H&E stain; 20× magnification; 11 tiles cut from one stomach biopsy slide; 300×300 px each.
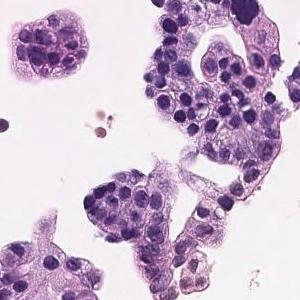
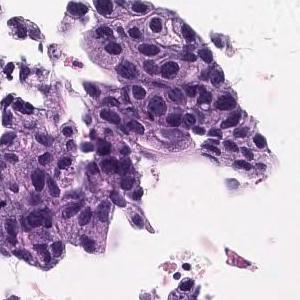
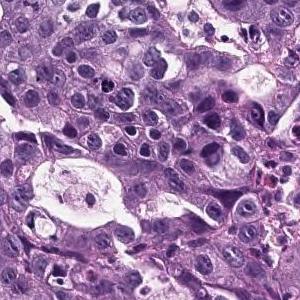
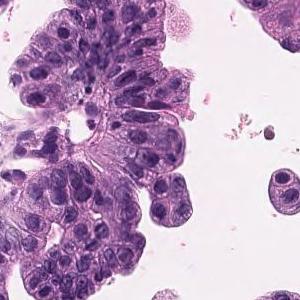
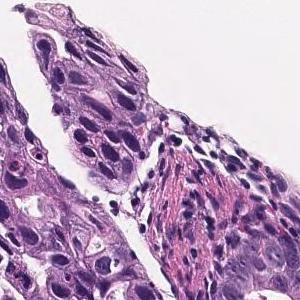
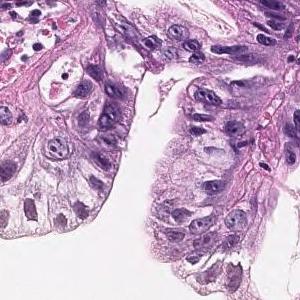
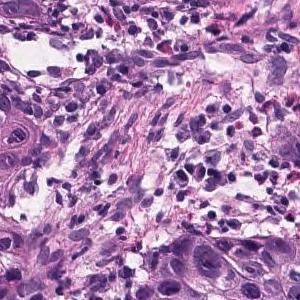
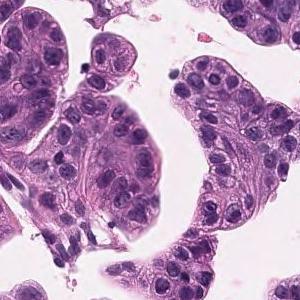
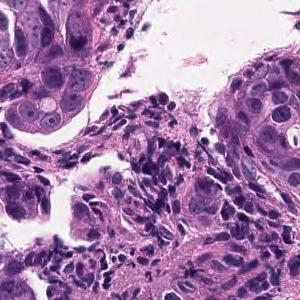
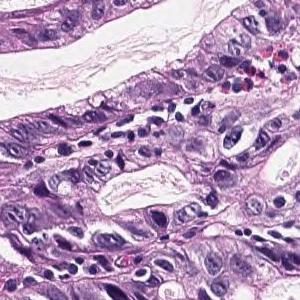
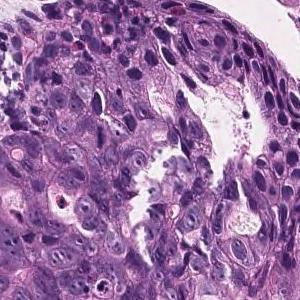
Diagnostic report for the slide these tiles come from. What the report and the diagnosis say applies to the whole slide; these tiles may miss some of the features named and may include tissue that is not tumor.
Tumor cells are large, highly columnar, large club-shaped nuclei, and are associated with chromatin aggregation. Papillary adenocarcinoma.
